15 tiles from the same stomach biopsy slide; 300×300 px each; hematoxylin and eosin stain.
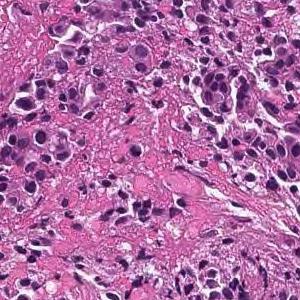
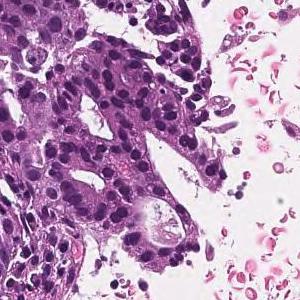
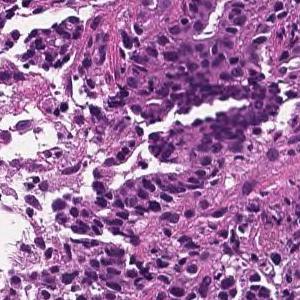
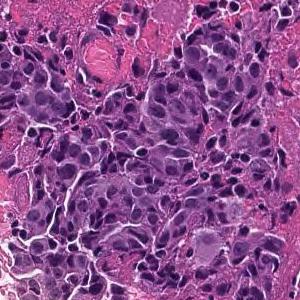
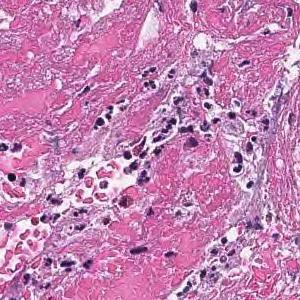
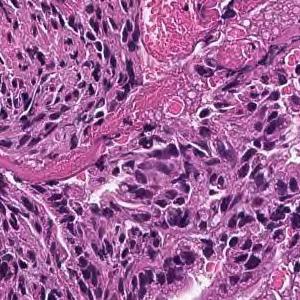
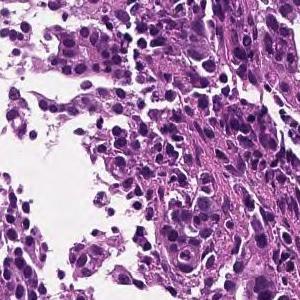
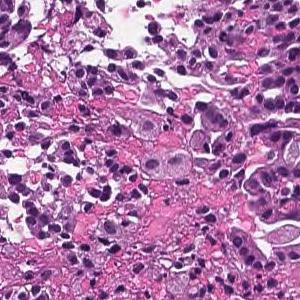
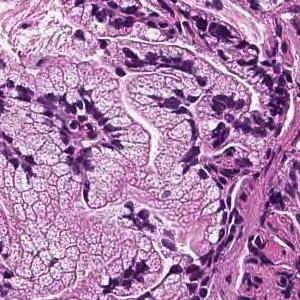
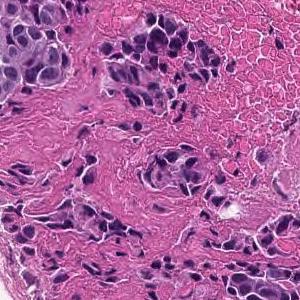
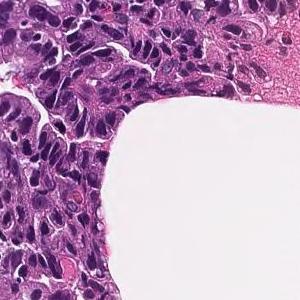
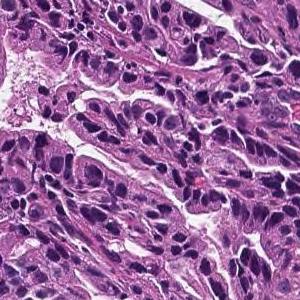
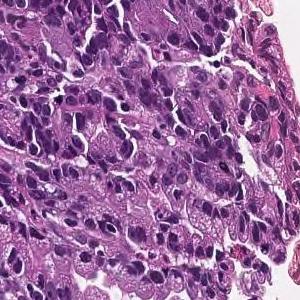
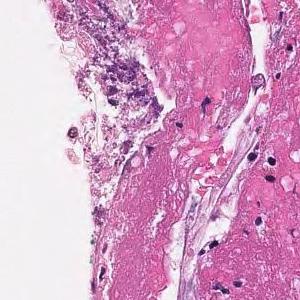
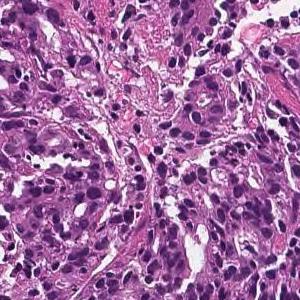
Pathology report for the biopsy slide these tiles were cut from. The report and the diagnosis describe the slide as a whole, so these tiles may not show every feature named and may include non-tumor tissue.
On the superficial epithelium, tumor tissue that infiltrates by forming medium-sized papillary or small irregular ducts is observed. Papillary adenocarcinoma
